7 image tiles from a single gastric biopsy slide · 300×300 px each · H&E · 20× magnification.
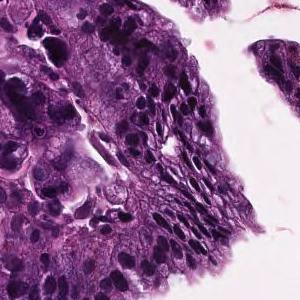
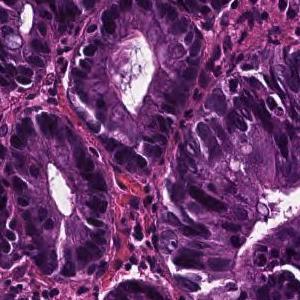
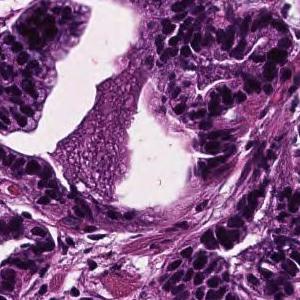
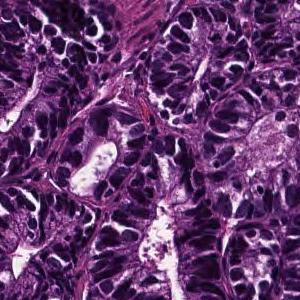
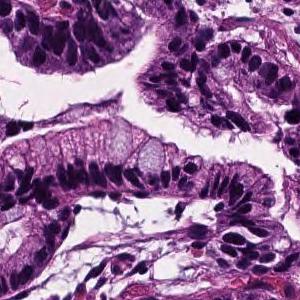
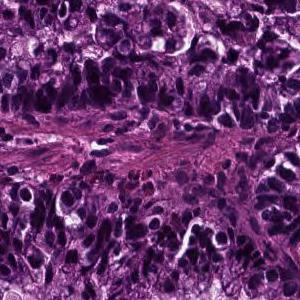
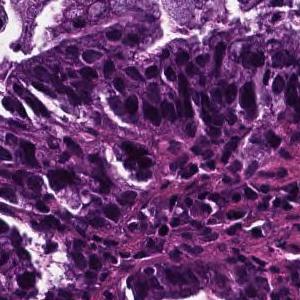
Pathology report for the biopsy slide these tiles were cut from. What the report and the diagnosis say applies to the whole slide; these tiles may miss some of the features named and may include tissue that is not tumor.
In the superficial epithelium, tumor tissue that invades by forming medium-sized to small, irregular ducts is observed. Well differentiated tubular adenocarcinoma.
